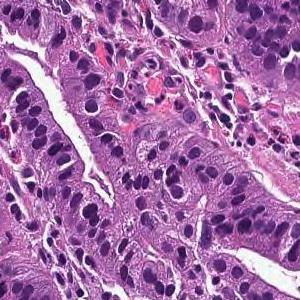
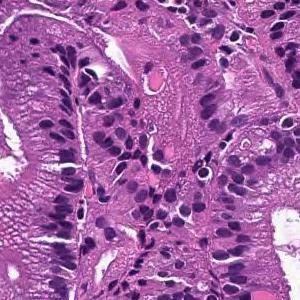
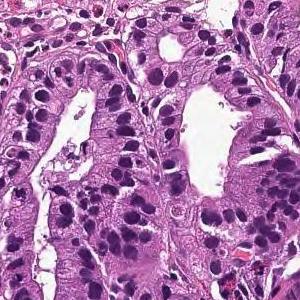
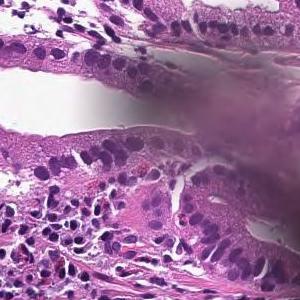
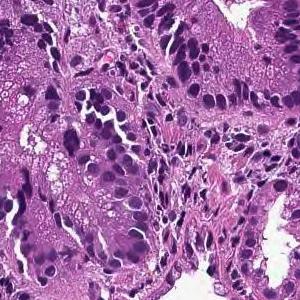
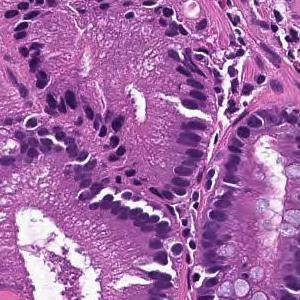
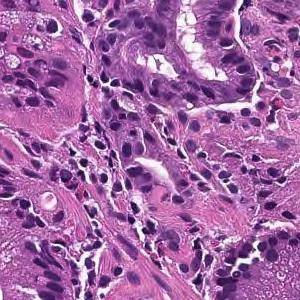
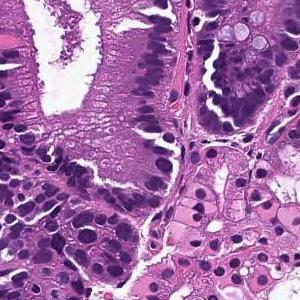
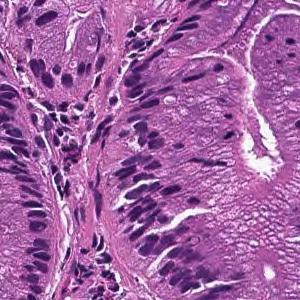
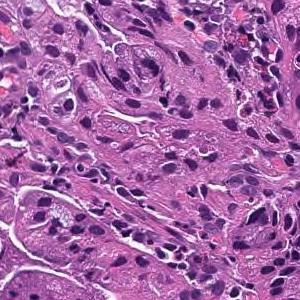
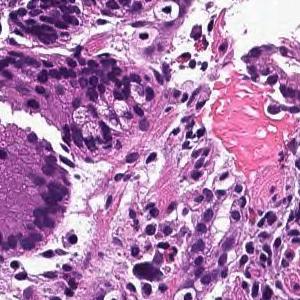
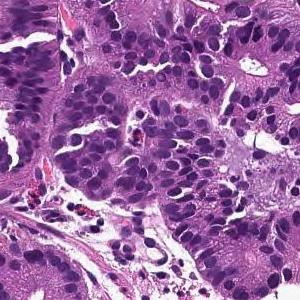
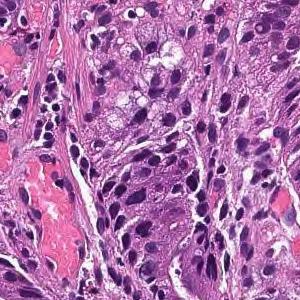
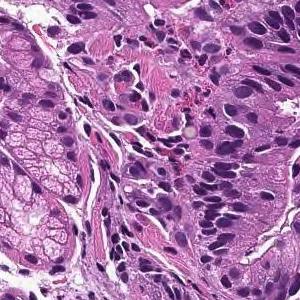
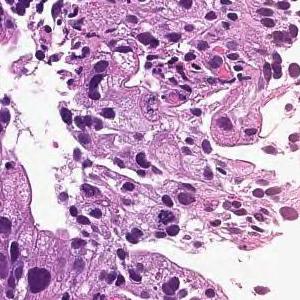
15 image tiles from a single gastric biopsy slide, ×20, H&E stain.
Diagnostic report for the slide these tiles come from. Both the report and the diagnosis are for the whole slide: these tiles need not show every feature named, and some of the tissue shown may not be tumor.
Tumor cells are large, highly columnar, large club-shaped nuclei, and are associated with chromatin aggregation. Papillary adenocarcinoma.
